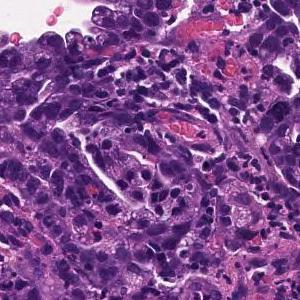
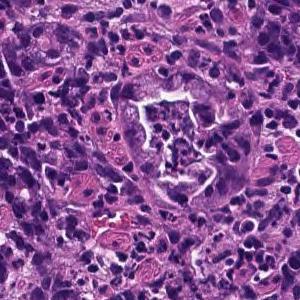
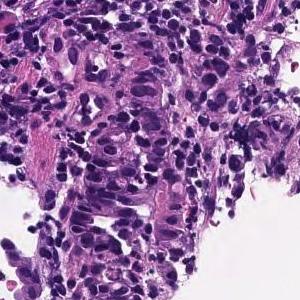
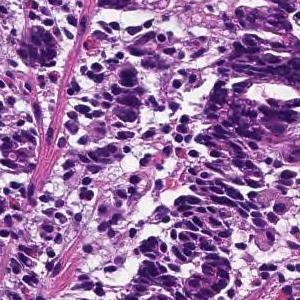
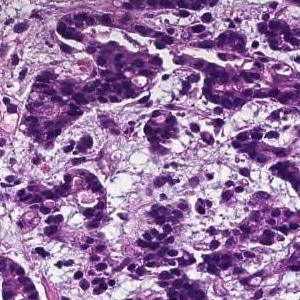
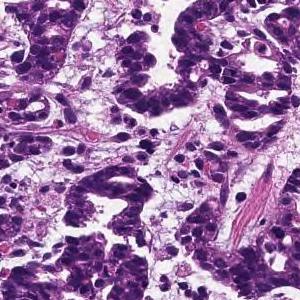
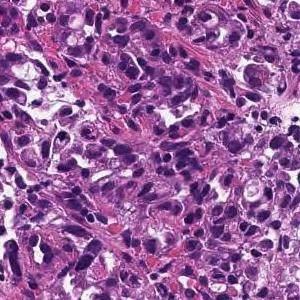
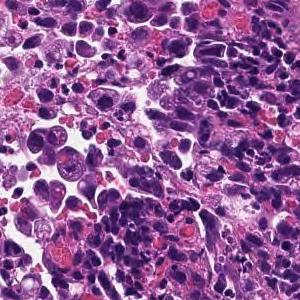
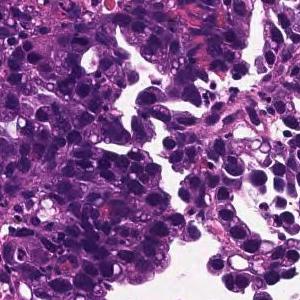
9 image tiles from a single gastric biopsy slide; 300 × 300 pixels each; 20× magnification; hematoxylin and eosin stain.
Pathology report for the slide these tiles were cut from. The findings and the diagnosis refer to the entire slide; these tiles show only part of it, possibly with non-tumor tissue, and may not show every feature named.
In the superficial epithelium, tumor tissue that invades by forming medium-sized to small, irregular ducts is observed. moderately differentiated tubular adenocarcinoma.
